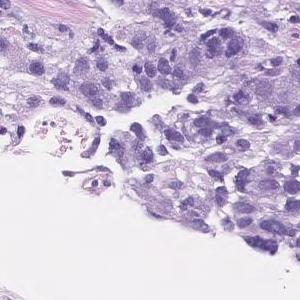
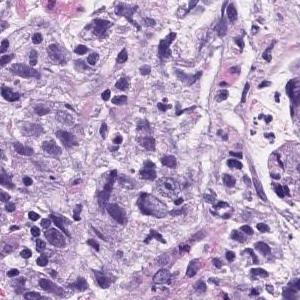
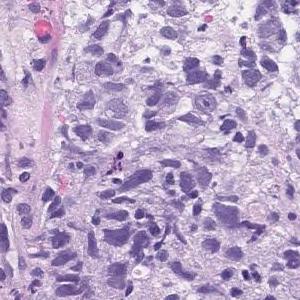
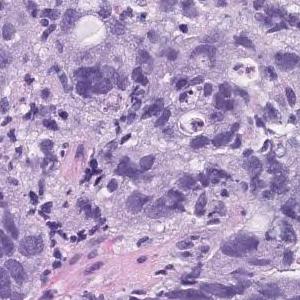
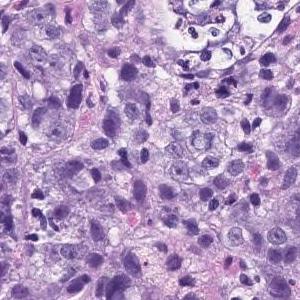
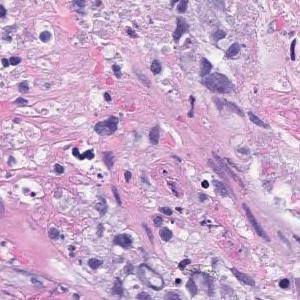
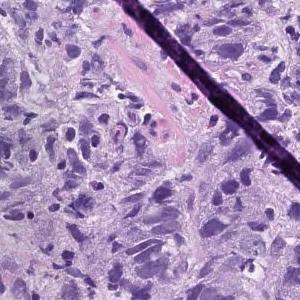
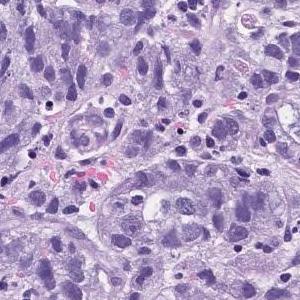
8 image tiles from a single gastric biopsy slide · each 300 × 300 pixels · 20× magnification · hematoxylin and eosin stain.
The pathologist's report on the biopsy slide these tiles were taken from. Both the report and the diagnosis are for the whole slide: these tiles need not show every feature named, and some of the tissue shown may not be tumor.
Atypical l cells with atypical nuclei forming solid vesicles or small irregular atypical ducts that proliferate in a complex manner. poorly differentiated adenocarcinoma, solid type, moderately differentiated tubular adenocarcinoma
The solid type named here is a Japanese Classification of Gastric Carcinoma category; WHO 2019 calls it tubular adenocarcinoma, poorly differentiated.
